4 tiles from the same stomach biopsy slide.
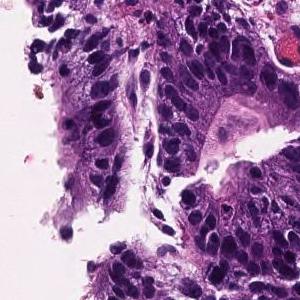
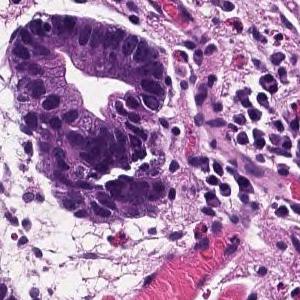
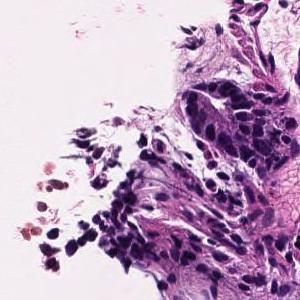
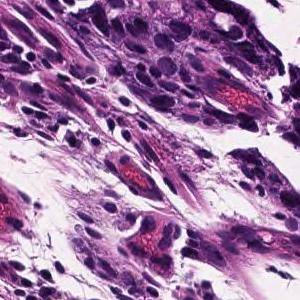
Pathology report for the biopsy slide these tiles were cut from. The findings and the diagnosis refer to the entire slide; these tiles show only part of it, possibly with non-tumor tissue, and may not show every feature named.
In the superficial epithelium, tumor tissue that invades by forming medium-sized to small, irregular ducts is observed. Well differentiated tubular adenocarcinoma.
